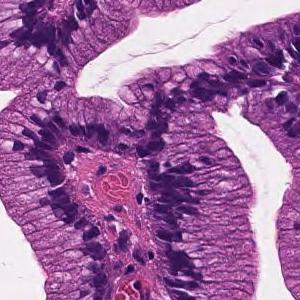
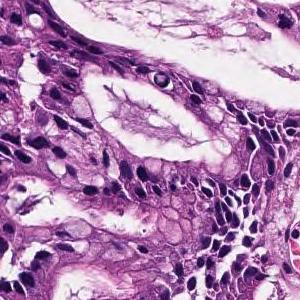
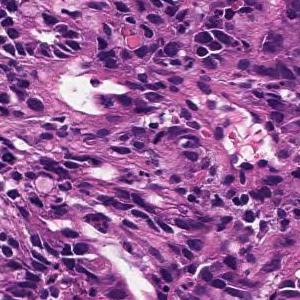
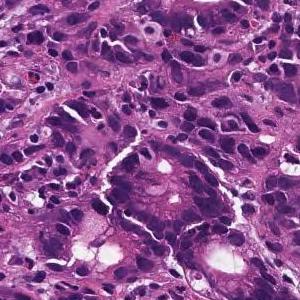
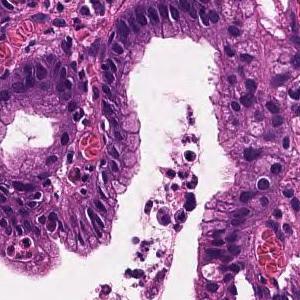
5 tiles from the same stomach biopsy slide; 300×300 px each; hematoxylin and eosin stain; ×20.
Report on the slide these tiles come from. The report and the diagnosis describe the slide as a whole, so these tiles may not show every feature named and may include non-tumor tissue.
On the superficial epithelium, tumor tissue consisting of medium-sized and irregular glandular ducts partially fused and infiltrated is observed. Well to moderately differentiated tubular adenocarcinoma (well differentiated tubular adenocarcinoma-moderately differentiated tubular adenocarcinoma)
Classified as well to moderately differentiated tubular adenocarcinoma.
